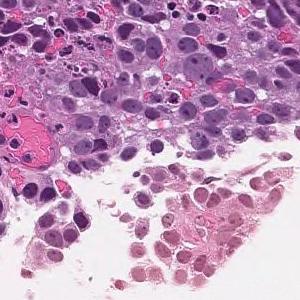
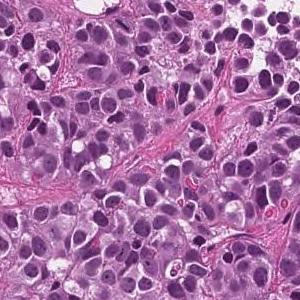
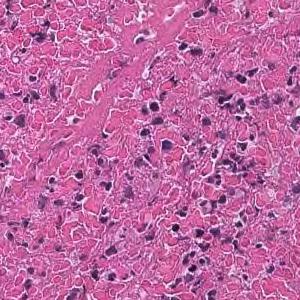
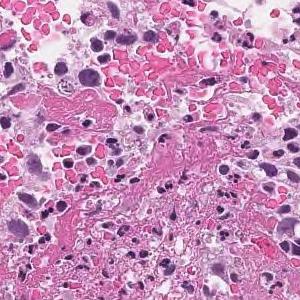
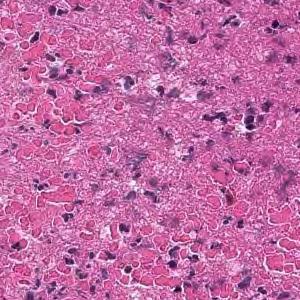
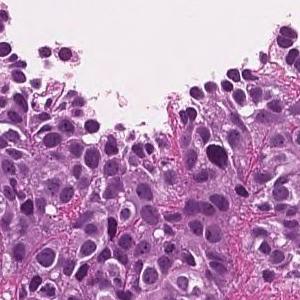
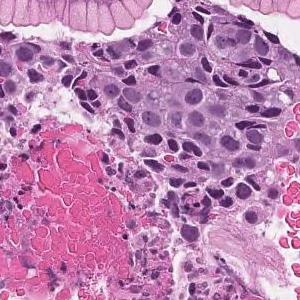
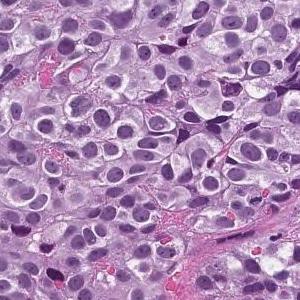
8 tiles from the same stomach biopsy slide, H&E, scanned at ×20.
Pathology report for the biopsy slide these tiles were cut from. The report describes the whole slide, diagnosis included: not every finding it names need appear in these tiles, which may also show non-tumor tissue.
The superficial epithelium shows a large sheet-like shape, and some tumor tissue infiltrates with small irregular ducts. Poorly differentiated adenocarcinoma, solid-type
Histologic type: Poorly differentiated adenocarcinoma, solid type (Japanese Classification of Gastric Carcinoma). The WHO 2019 equivalent is tubular adenocarcinoma, poorly differentiated.
